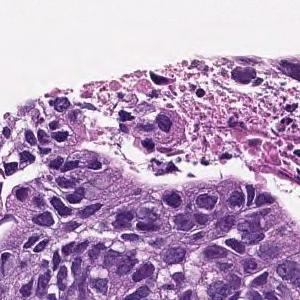
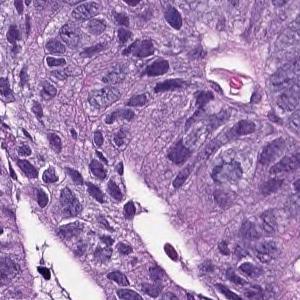
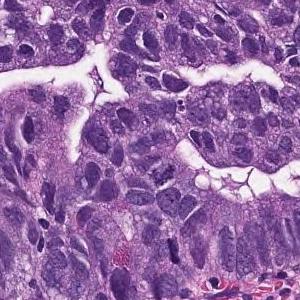
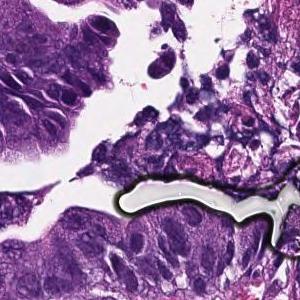
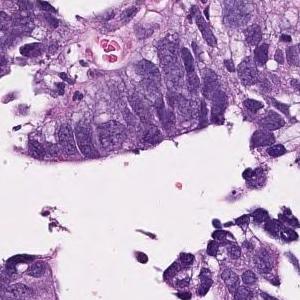
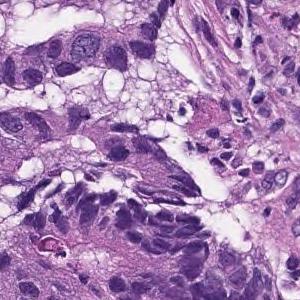
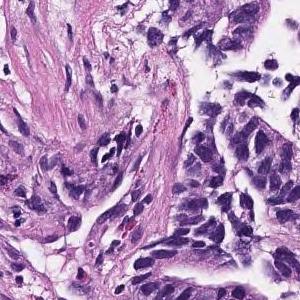
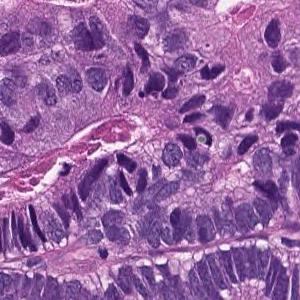
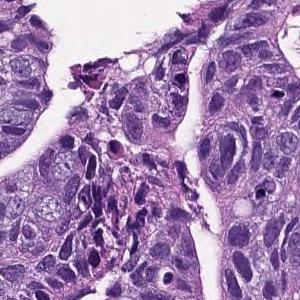
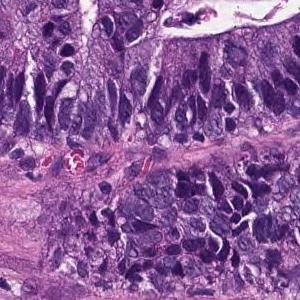
10 image tiles from a single gastric biopsy slide; 300 × 300 pixels each; H&E.
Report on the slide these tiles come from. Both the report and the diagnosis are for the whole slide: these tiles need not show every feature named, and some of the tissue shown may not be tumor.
In the superficial epithelium, tumor tissue that invades by forming medium-sized to small, irregular ducts is observed. moderately differentiated tubular adenocarcinoma.
